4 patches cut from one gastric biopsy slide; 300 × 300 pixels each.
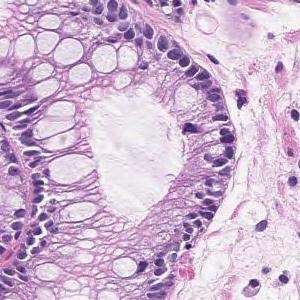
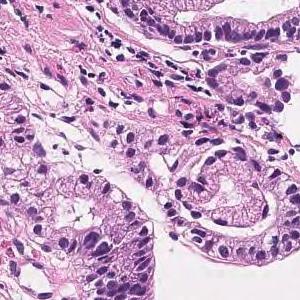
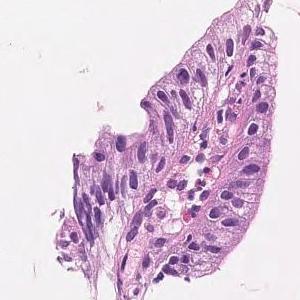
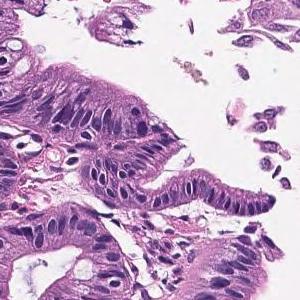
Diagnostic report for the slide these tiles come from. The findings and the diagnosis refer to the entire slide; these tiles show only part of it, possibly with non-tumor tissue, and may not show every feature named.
In the superficial epithelium, tumor tissue that invades by forming medium-sized to small, irregular ducts is observed. Well differentiated tubular adenocarcinoma.
